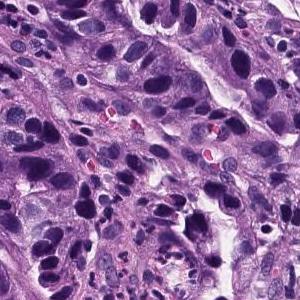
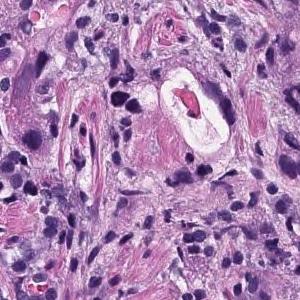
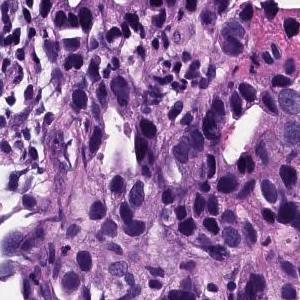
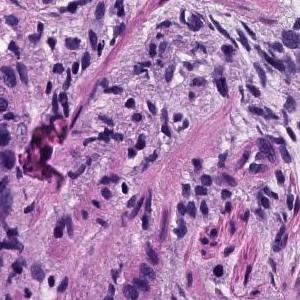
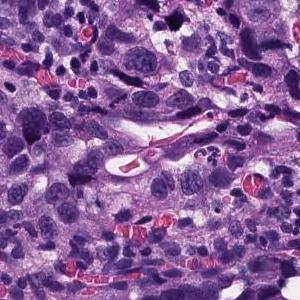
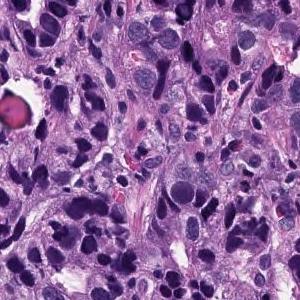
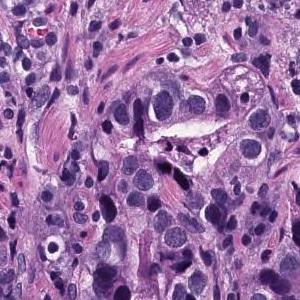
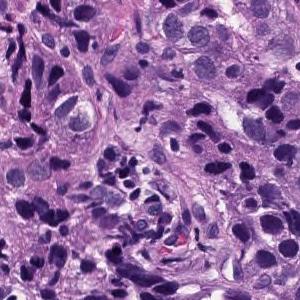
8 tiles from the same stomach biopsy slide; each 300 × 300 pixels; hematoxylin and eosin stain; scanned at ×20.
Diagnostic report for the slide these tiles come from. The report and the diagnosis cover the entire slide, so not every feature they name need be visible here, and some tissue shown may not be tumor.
In the epithelium, tumor tissue in which medium to small irregular gland ducts fuse with each other and infiltrate the submucosa. moderately differentiated tubular adenocarcinoma
